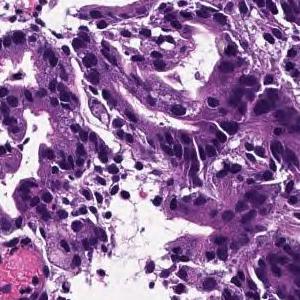
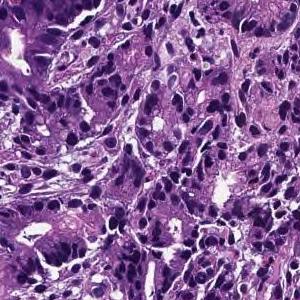
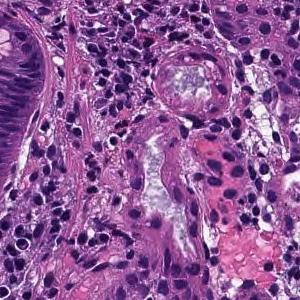
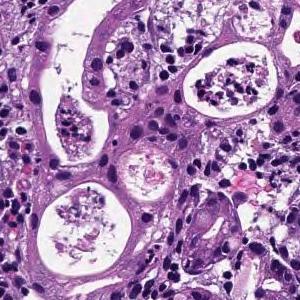
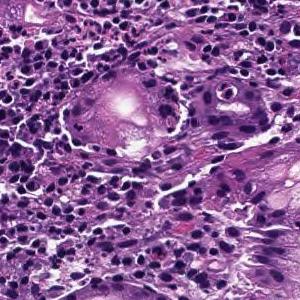
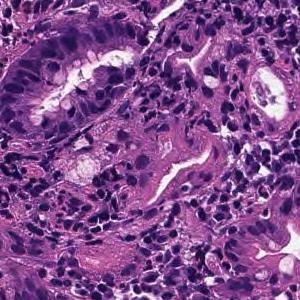
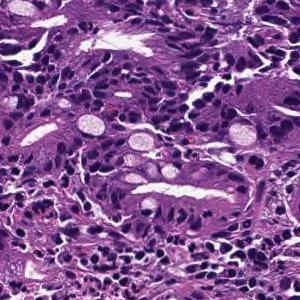
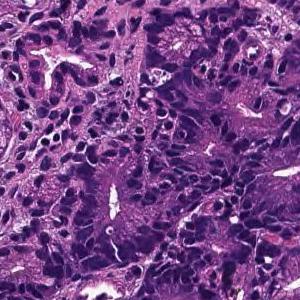
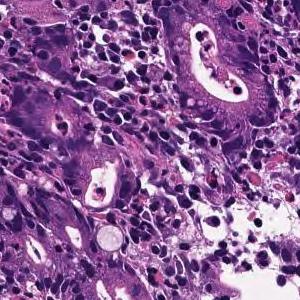
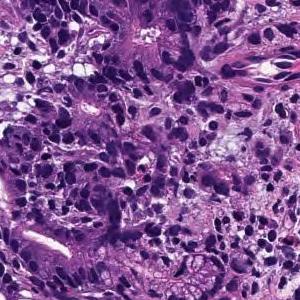
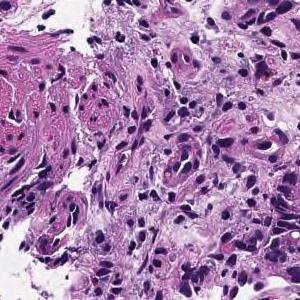
Scanned at ×20; hematoxylin and eosin stain; 11 image tiles from a single gastric biopsy slide; 300×300 px each.
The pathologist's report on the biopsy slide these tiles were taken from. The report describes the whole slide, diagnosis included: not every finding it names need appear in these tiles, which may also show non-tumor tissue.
In the superficial epithelium, tumor tissue that invades by forming medium-sized to small, irregular ducts is observed. moderately differentiated tubular adenocarcinoma.
